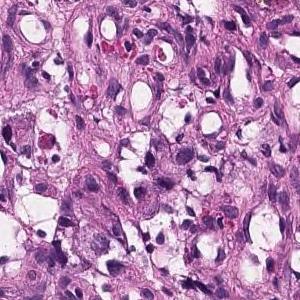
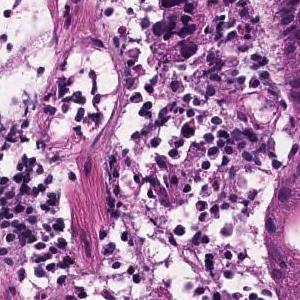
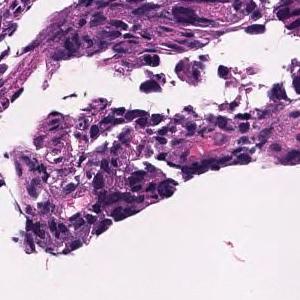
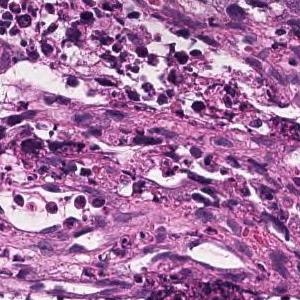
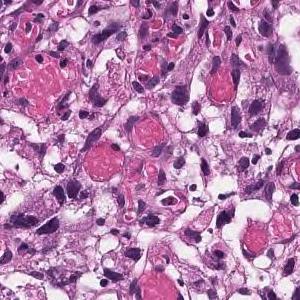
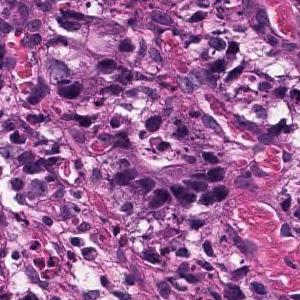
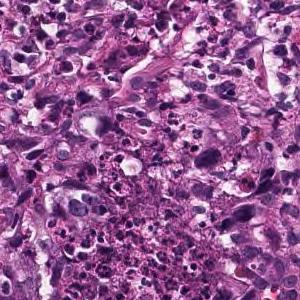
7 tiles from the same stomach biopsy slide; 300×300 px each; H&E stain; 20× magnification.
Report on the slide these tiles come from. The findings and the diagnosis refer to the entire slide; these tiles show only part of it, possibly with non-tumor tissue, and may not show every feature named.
Tumor tissue consisting of medium-sized, cord-like or irregular glandular infiltration is observed in the superficial epithelium. Poorly differentiated adenocarcinoma, non-solid type or moderately differentiated tubular adenocarcinoma
"Non-solid type" is a category of the Japanese Classification of Gastric Carcinoma.
